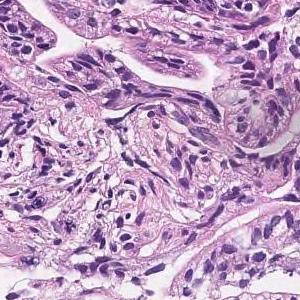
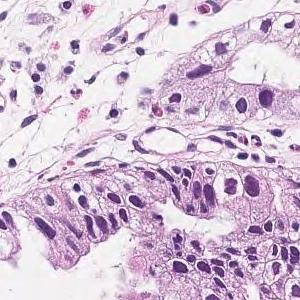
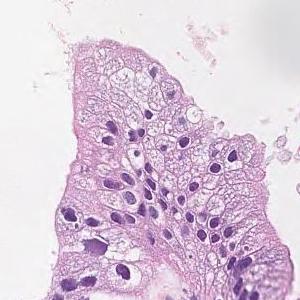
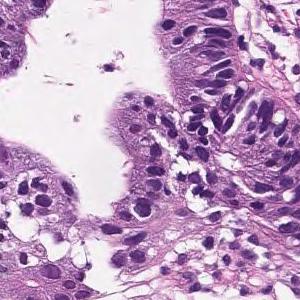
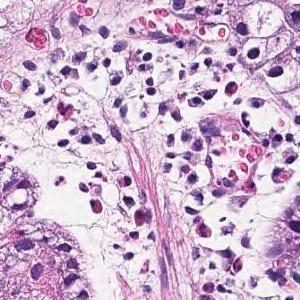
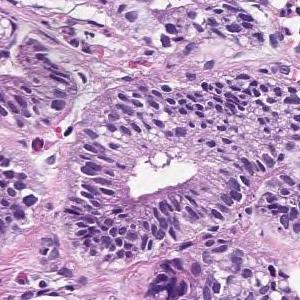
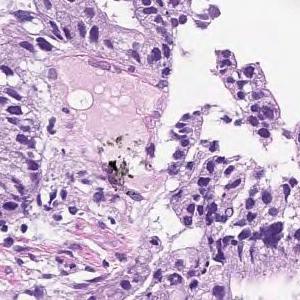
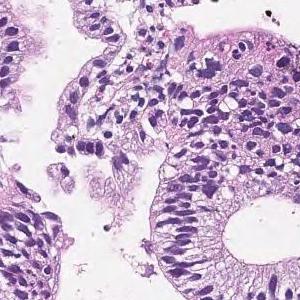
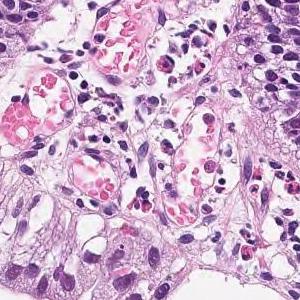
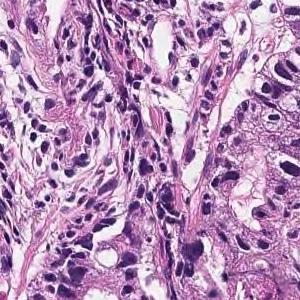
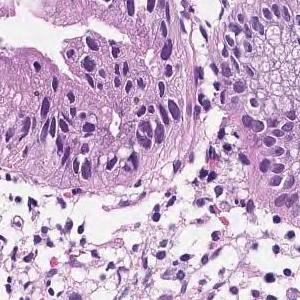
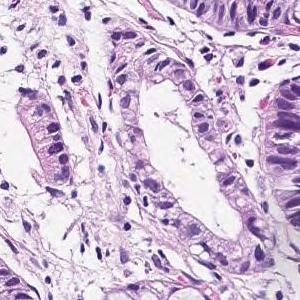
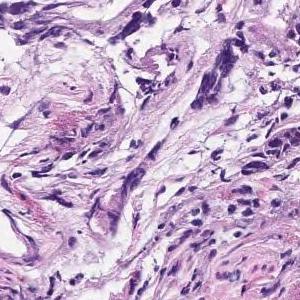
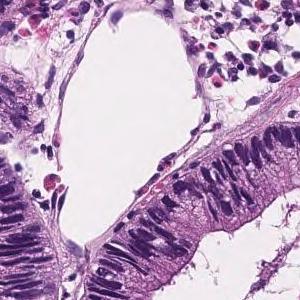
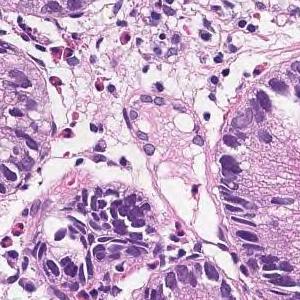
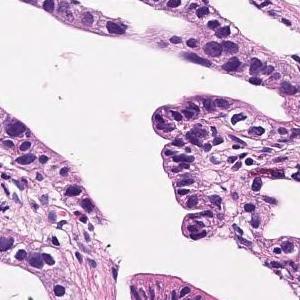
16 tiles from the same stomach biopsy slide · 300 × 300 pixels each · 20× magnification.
Diagnostic report for the slide these tiles come from. The report and the diagnosis cover the entire slide, so not every feature they name need be visible here, and some tissue shown may not be tumor.
In the superficial epithelium, tumor tissue that invades by forming medium-sized to small, irregular ducts is observed. Moderately differentiated adenocarcinoma.
Tumor subtype: moderately differentiated tubular adenocarcinoma.
